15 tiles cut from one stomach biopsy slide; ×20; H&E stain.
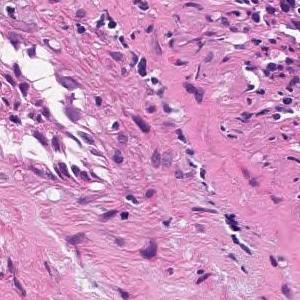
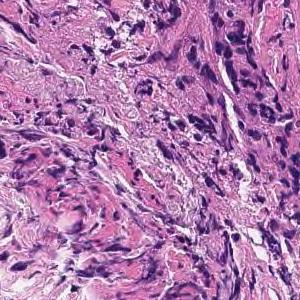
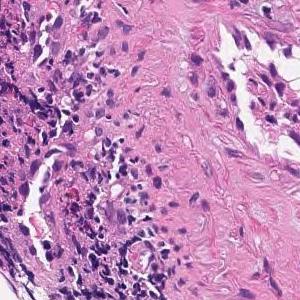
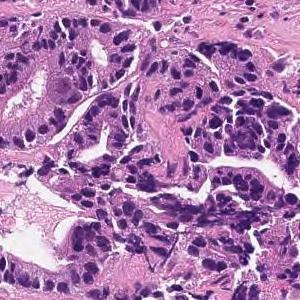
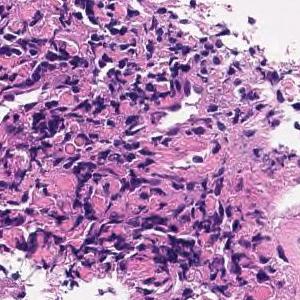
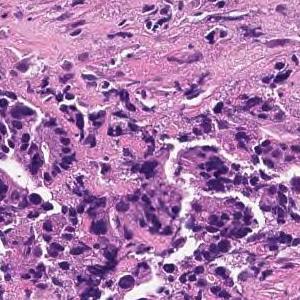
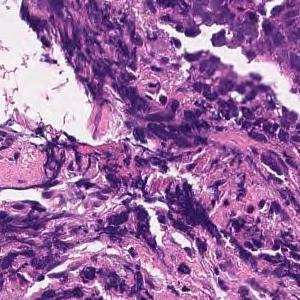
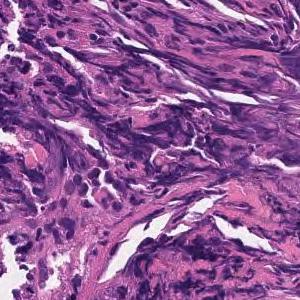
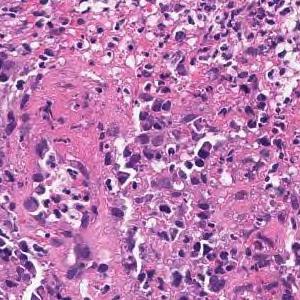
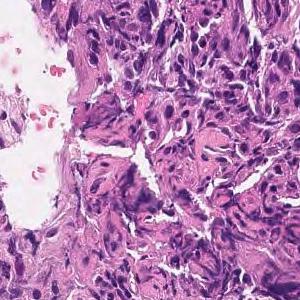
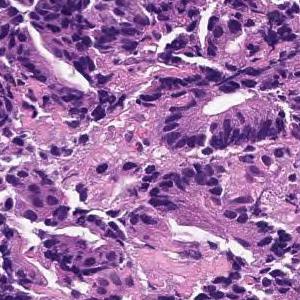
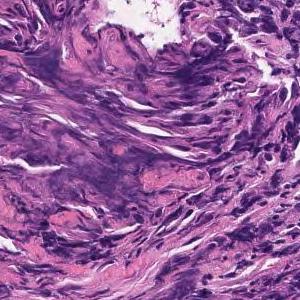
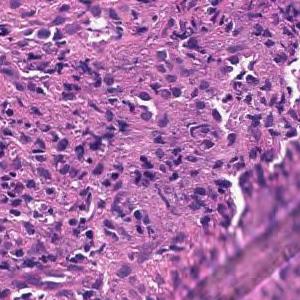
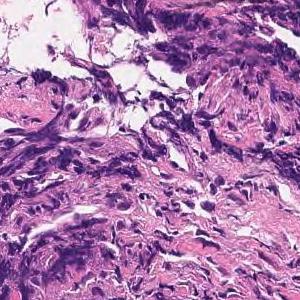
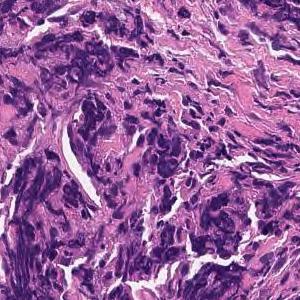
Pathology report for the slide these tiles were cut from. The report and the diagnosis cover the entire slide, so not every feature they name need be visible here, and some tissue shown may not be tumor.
Tumor tissue consisting of medium-sized, cord-like or irregular glandular infiltration is observed in the superficial epithelium. Poorly differentiated adenocarcinoma, non-solid type or moderately differentiated tubular adenocarcinoma
Histological subtype: Moderately to poorly differentiated adenocarcinoma.
The non-solid type named here is a Japanese Classification of Gastric Carcinoma category.
